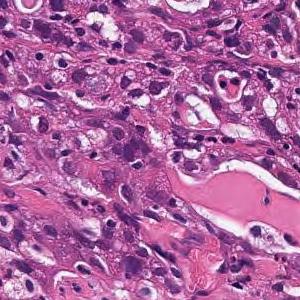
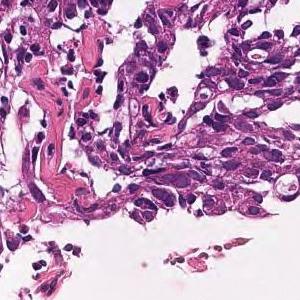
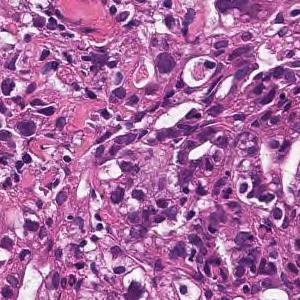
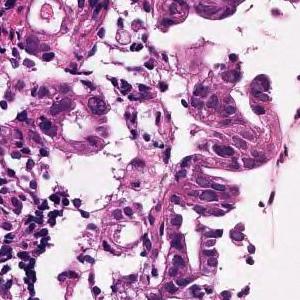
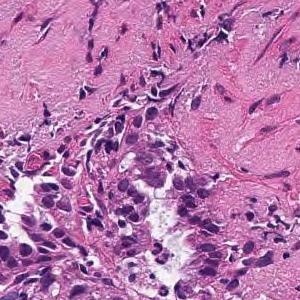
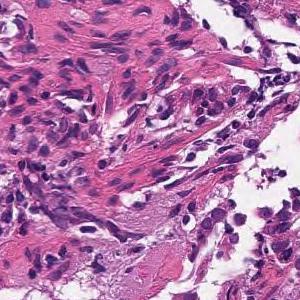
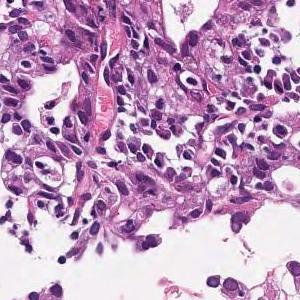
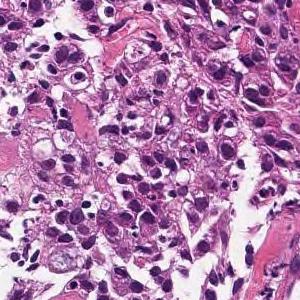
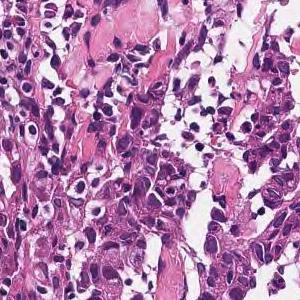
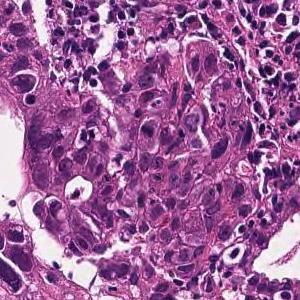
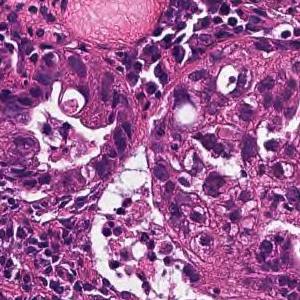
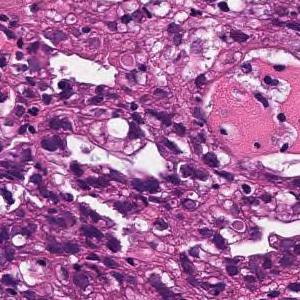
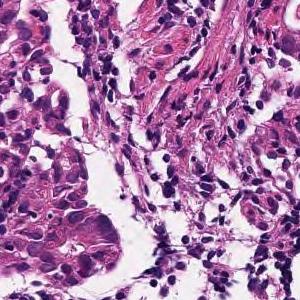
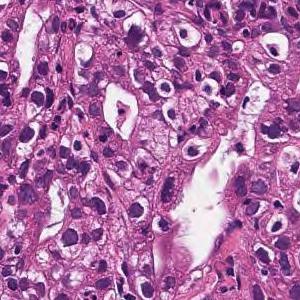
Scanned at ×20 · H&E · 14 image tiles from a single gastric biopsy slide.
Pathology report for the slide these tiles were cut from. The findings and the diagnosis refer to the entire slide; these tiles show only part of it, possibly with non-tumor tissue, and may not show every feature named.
Tumor tissue consisting of cord-like or small, irregular glandular ducts fused and infiltrated is observed in the superficial epithelium. Poorly differentiated adenocarcinoma, non-solid type
The term "non-solid type" comes from the Japanese Classification of Gastric Carcinoma.
